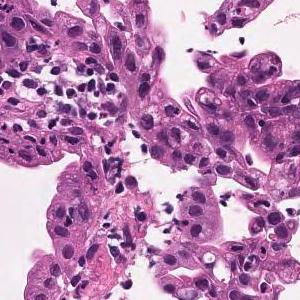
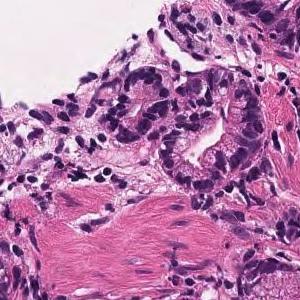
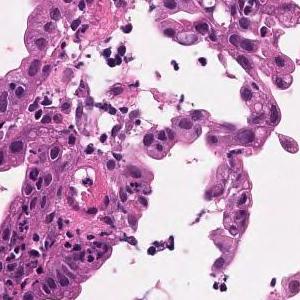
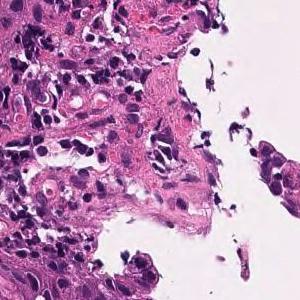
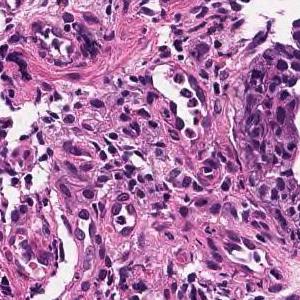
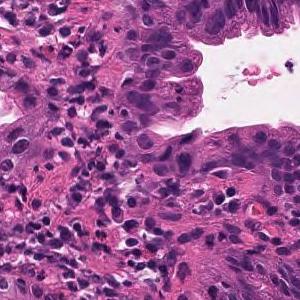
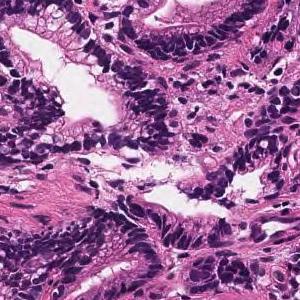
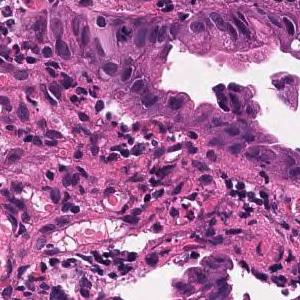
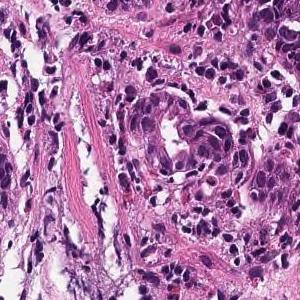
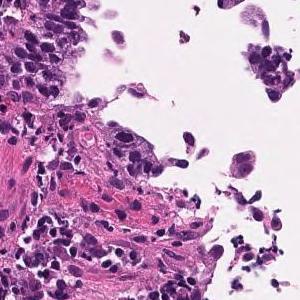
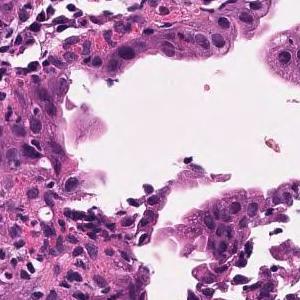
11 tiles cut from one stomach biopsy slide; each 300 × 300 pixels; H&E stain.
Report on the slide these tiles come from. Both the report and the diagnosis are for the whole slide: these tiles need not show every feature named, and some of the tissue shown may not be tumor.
Tumor tissue in which medium to small irregular ducts infiltrate and proliferate in the submucosa can be seen in the epithelium. Well differentiated tubular adenocarcinoma
